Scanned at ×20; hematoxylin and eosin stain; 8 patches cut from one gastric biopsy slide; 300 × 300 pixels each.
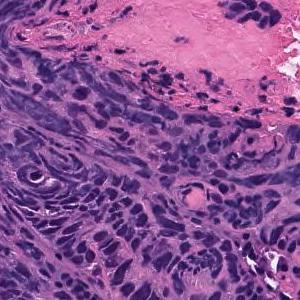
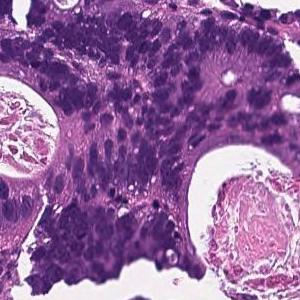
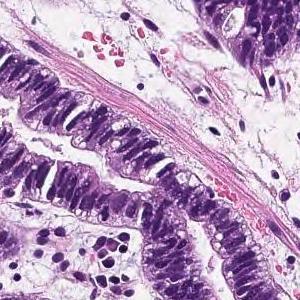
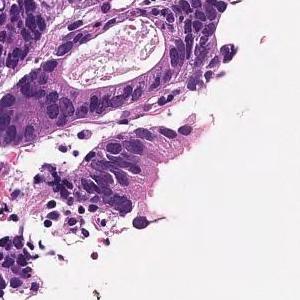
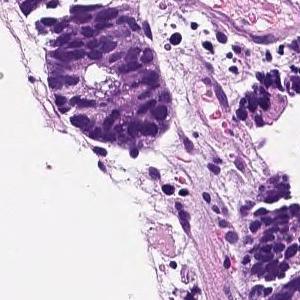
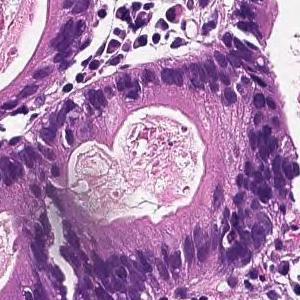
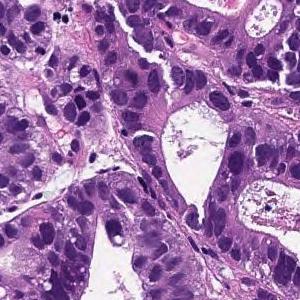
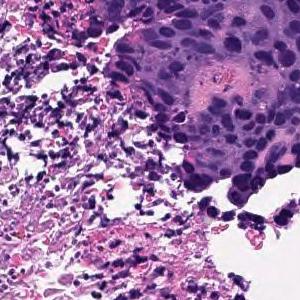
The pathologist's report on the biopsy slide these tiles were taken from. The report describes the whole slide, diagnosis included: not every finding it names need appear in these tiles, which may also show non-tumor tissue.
In the superficial epithelium, tumor tissue that invades by forming medium-sized to small, irregular ducts is observed. moderately differentiated tubular adenocarcinoma.
